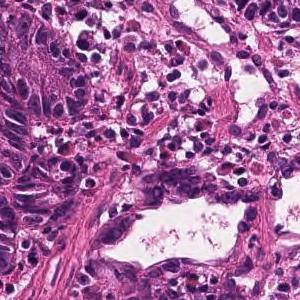
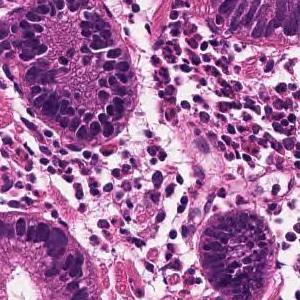
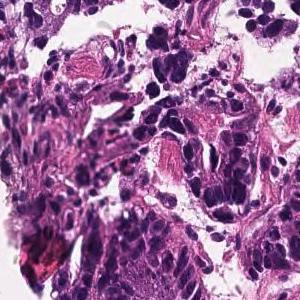
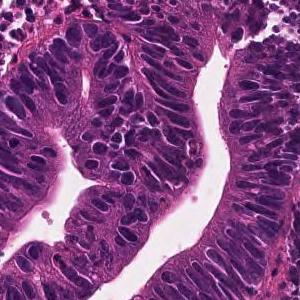
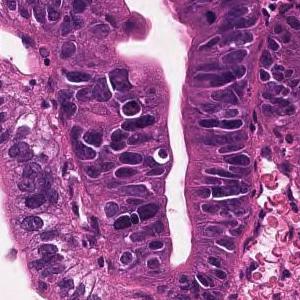
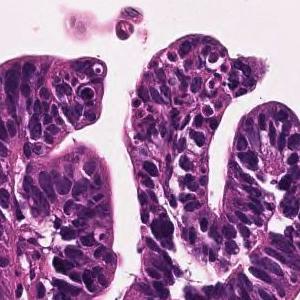
Scanned at ×20; hematoxylin and eosin stain; 6 tiles from the same stomach biopsy slide; 300×300 px each.
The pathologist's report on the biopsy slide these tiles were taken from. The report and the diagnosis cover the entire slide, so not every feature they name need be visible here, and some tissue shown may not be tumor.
A large irregular tubular structure is exhibited in the epithelium, and tumor tissue that partially fuses and infiltrates and proliferates is observed. Large columnar tumor cells exhibit enlarged nucleus, hyperchromatism, and mitotic figures. Well differentiated tubular adenocarcinoma
